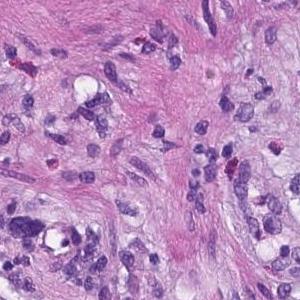
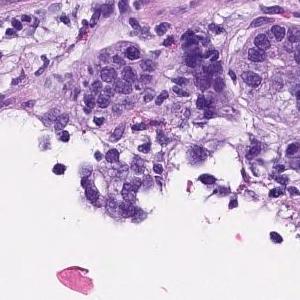
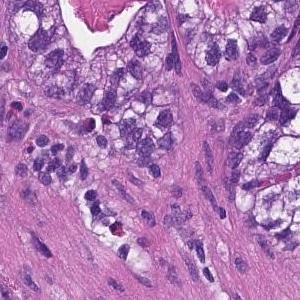
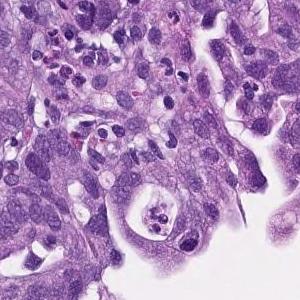
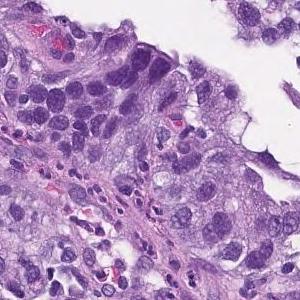
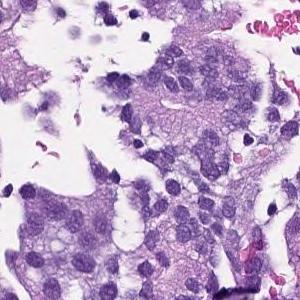
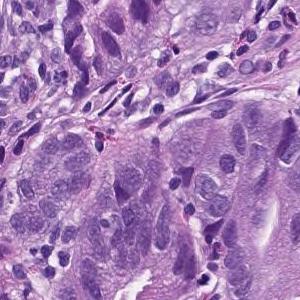
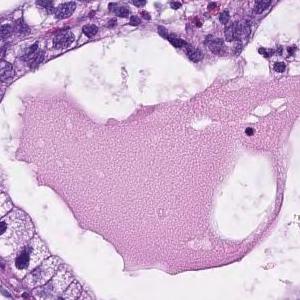
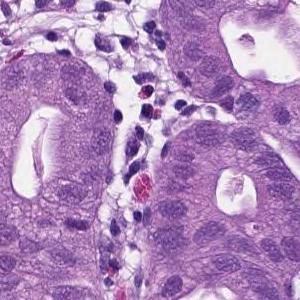
9 tiles cut from one stomach biopsy slide, 300 × 300 pixels each, H&E stain, ×20.
Diagnostic report for the slide these tiles come from. The report describes the whole slide, diagnosis included: not every finding it names need appear in these tiles, which may also show non-tumor tissue.
From the superficial epithelium to the muscularis mucosae, tumor tissue consisting of medium-sized and irregular glandular ducts infiltrating is observed. Well differentiated tubular adenocarcinoma
